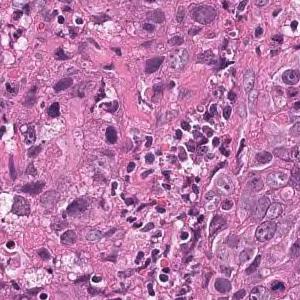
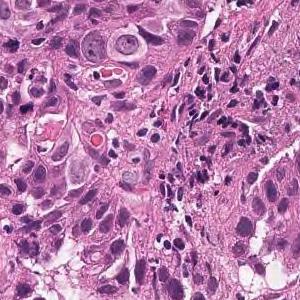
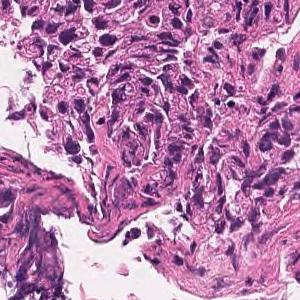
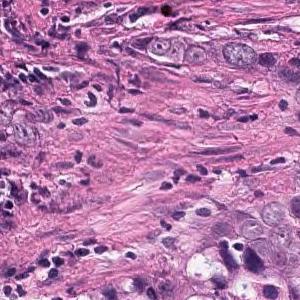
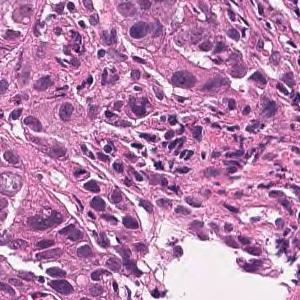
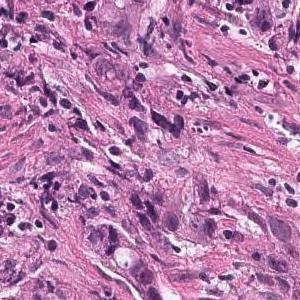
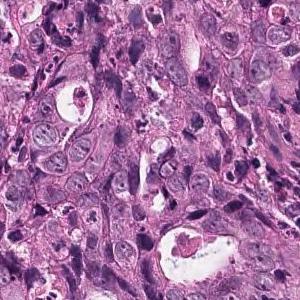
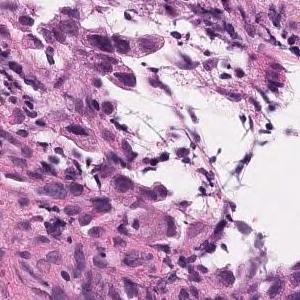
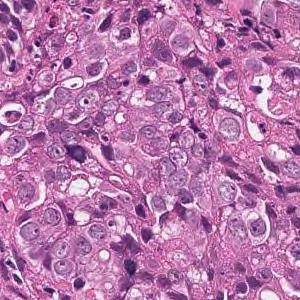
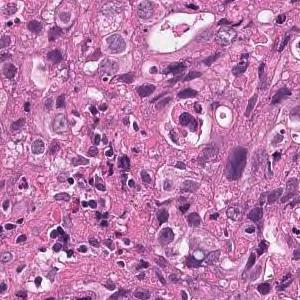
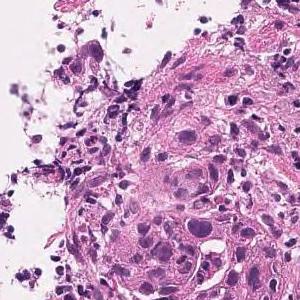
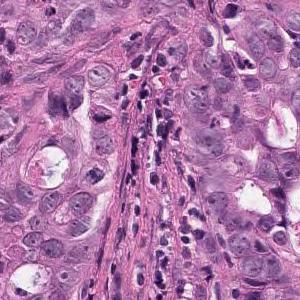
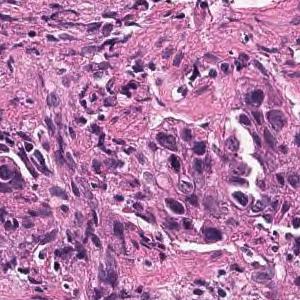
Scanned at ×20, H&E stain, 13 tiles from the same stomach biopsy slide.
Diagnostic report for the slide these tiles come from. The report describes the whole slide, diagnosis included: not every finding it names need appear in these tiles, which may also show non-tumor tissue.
Tumor tissue that infiltrates and proliferates with alveolar or cord-like structures with small glandular cavities in the superficial to submucosal layers is observed. moderately differentiated tubular adenocarcinoma
